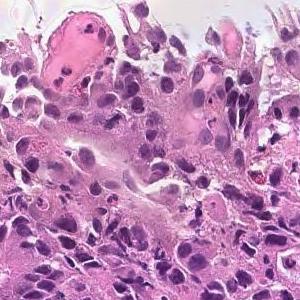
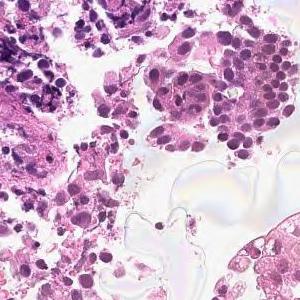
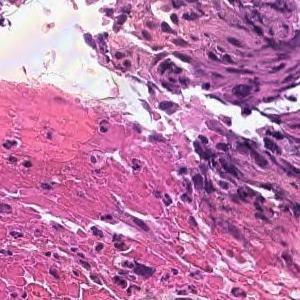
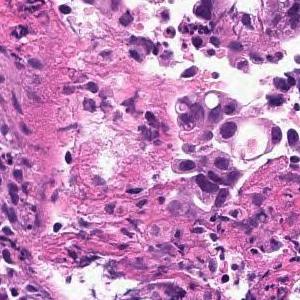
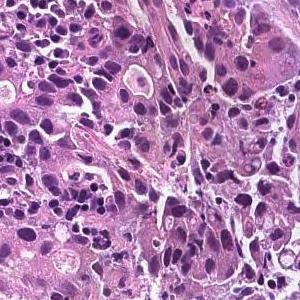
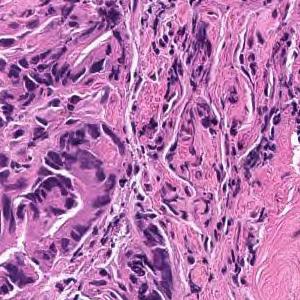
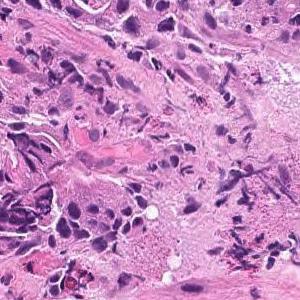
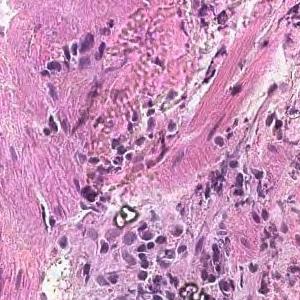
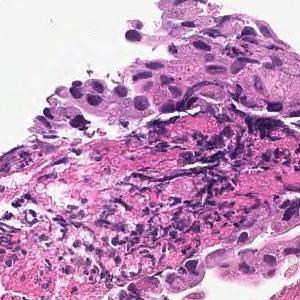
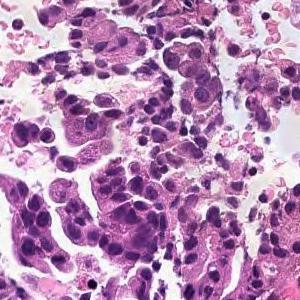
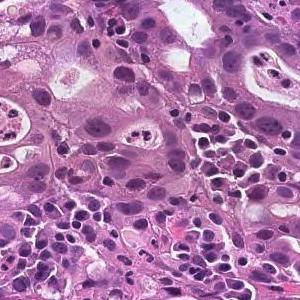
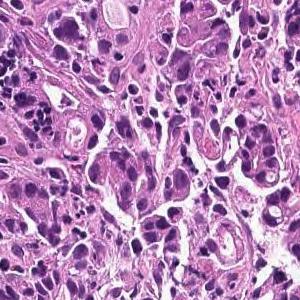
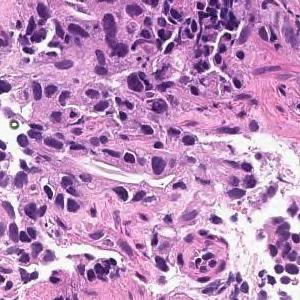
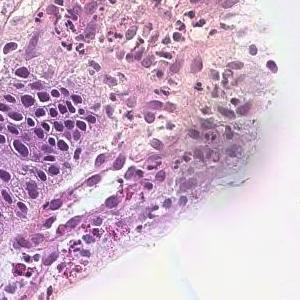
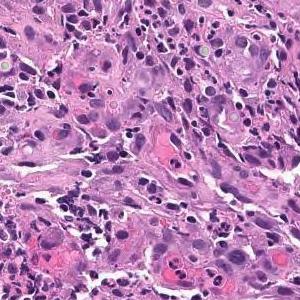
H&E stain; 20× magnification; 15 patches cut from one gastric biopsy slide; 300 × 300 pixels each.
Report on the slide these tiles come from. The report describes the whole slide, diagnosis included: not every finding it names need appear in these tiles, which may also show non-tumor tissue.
On the superficial epithelium, tumor tissue consisting of large irregular glandular ducts partially fused and infiltrated is observed. Well to moderately differentiated tubular adenocarcinoma (well differentiated tubular adenocarcinoma, moderately differentiated tubular adenocarcinoma)
Histological subtype: Well to moderately differentiated tubular adenocarcinoma.
